Scanned at ×20 · H&E · 16 patches cut from one gastric biopsy slide · 300×300 px each.
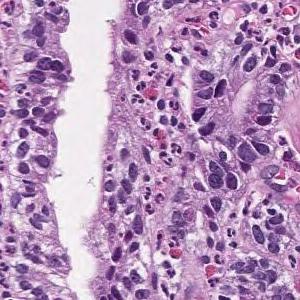
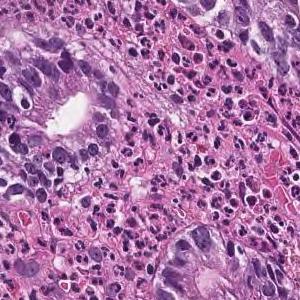
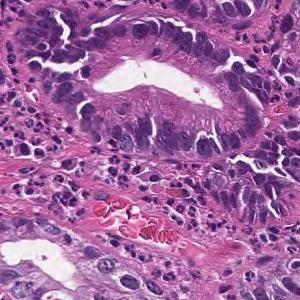
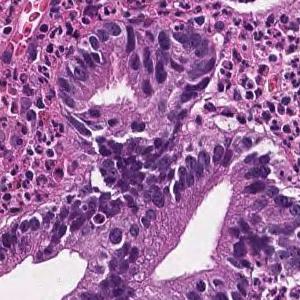
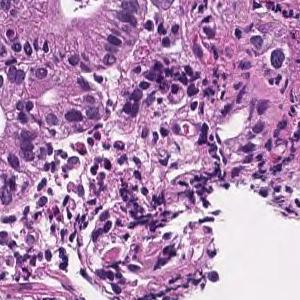
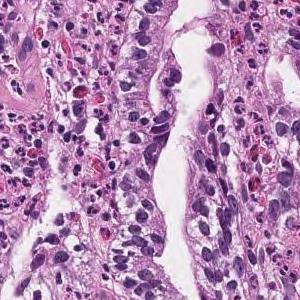
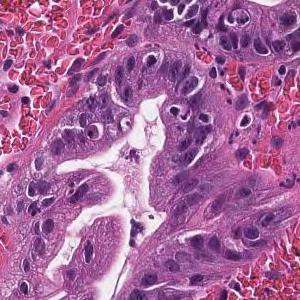
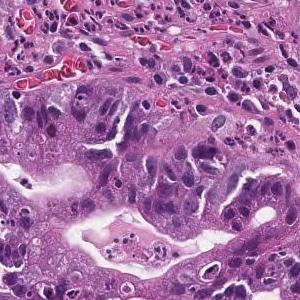
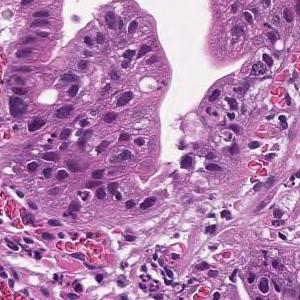
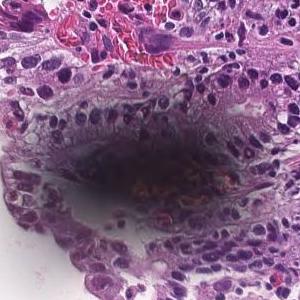
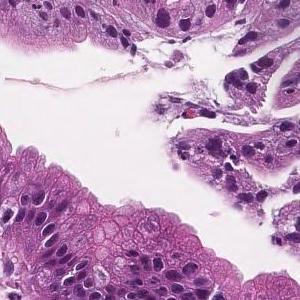
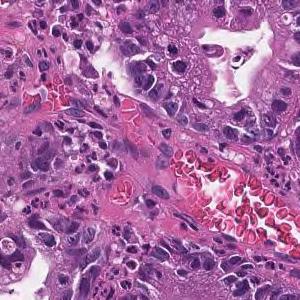
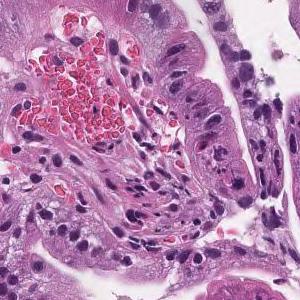
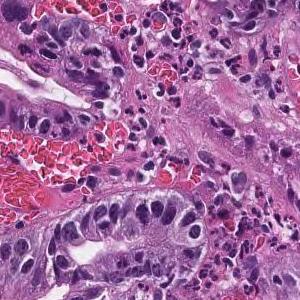
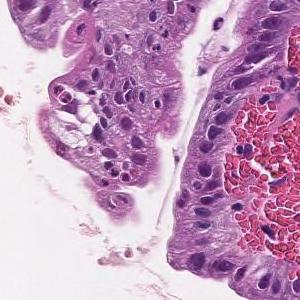
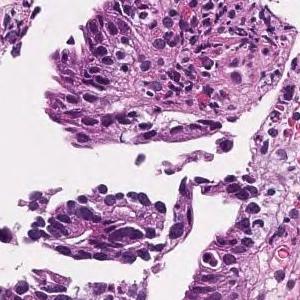
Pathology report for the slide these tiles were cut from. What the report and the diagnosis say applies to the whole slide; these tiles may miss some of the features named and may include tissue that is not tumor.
Tumor cells are large, highly columnar, large club-shaped nuclei, and are associated with chromatin aggregation. Papillary adenocarcinoma.
